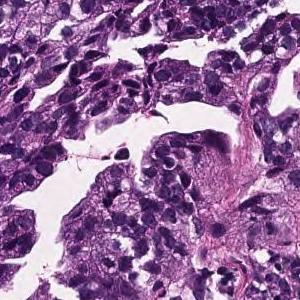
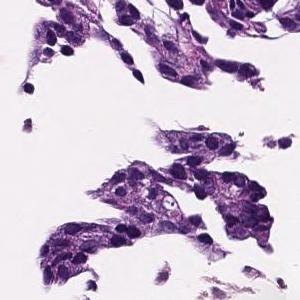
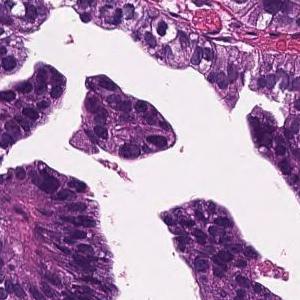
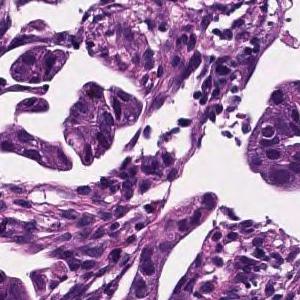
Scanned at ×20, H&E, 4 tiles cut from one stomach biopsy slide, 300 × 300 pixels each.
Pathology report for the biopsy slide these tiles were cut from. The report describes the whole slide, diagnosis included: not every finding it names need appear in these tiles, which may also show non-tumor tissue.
In the lamina propria, tumor tissue that invades by forming medium-sized to small, irregular glandular ducts is observed. moderately differentiated tubular adenocarcinoma
